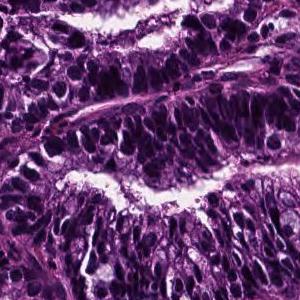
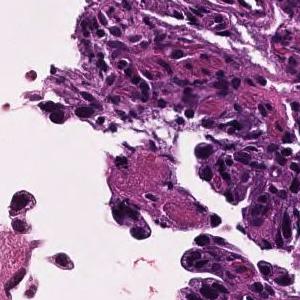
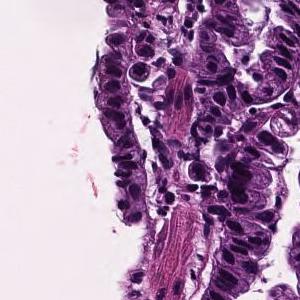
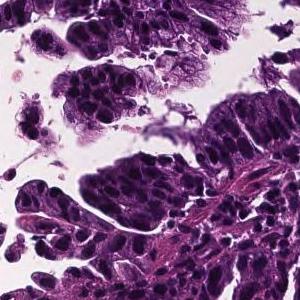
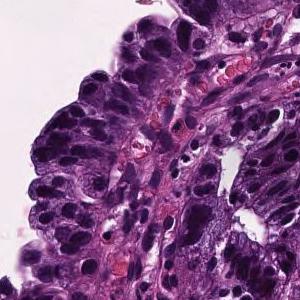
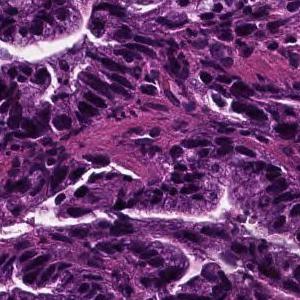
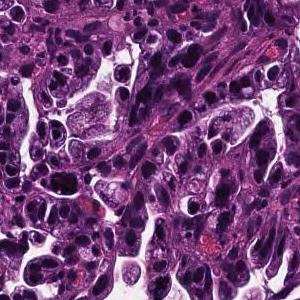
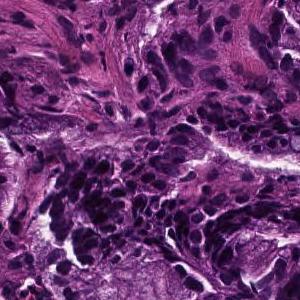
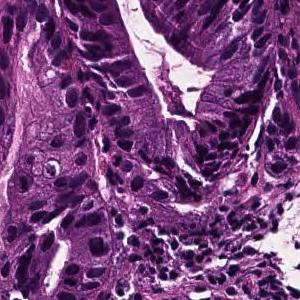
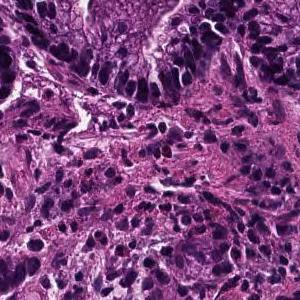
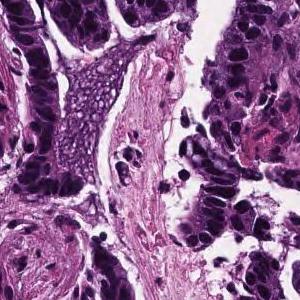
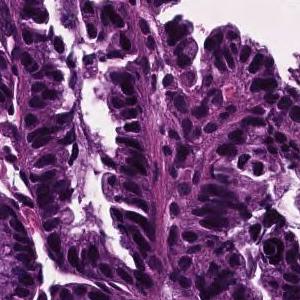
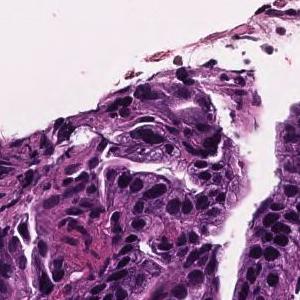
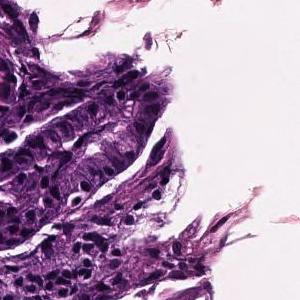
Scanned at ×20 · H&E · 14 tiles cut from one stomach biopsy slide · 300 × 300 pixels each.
Diagnostic report for the slide these tiles come from. The report and the diagnosis describe the slide as a whole, so these tiles may not show every feature named and may include non-tumor tissue.
In the superficial epithelium, tumor tissue that invades by forming medium-sized to small, irregular ducts is observed. Well differentiated tubular adenocarcinoma.
